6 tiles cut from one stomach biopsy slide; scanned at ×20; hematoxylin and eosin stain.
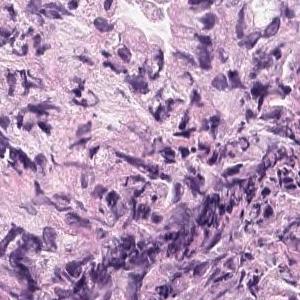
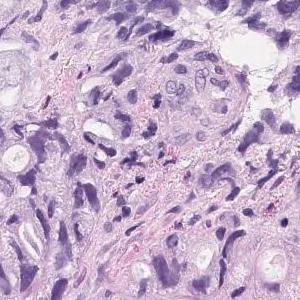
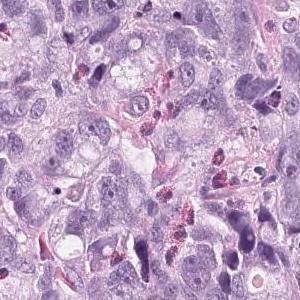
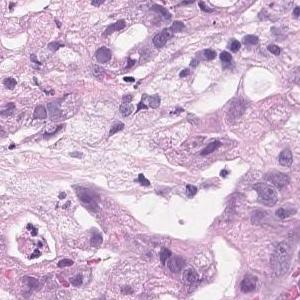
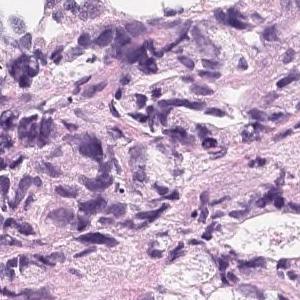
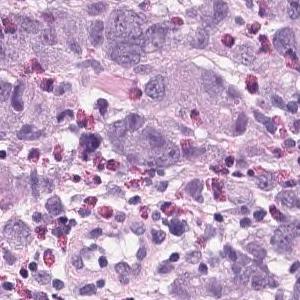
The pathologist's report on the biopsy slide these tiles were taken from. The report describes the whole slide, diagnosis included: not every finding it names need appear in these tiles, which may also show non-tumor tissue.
Tumor tissue that infiltrates and proliferates by forming small glandular cavities in the superficial layer to the submucosa or forming a mass is observed. moderately differentiated tubular adenocarcinoma
